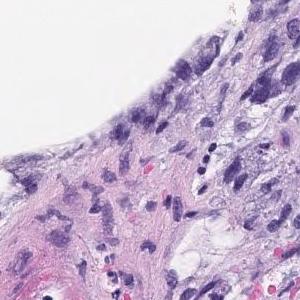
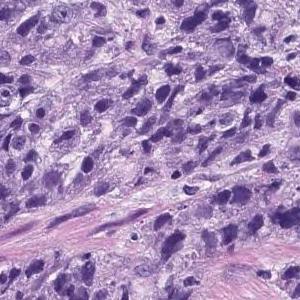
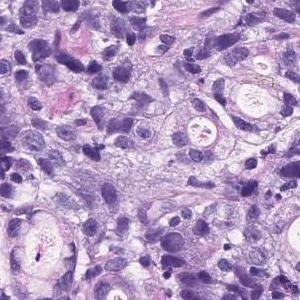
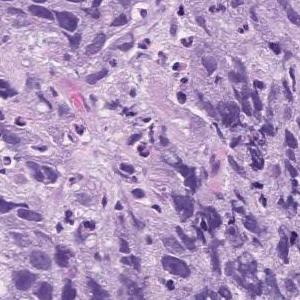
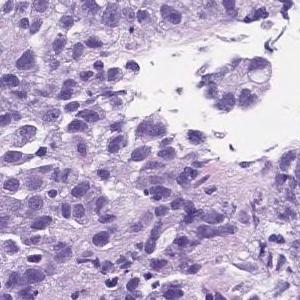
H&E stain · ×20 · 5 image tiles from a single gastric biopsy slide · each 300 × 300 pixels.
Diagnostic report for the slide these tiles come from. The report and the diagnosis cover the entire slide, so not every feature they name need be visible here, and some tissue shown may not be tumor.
Atypical l cells with atypical nuclei forming solid vesicles or small irregular atypical ducts that proliferate in a complex manner. poorly differentiated adenocarcinoma, solid type, moderately differentiated tubular adenocarcinoma
The solid type named here is a Japanese Classification of Gastric Carcinoma category; WHO 2019 calls it tubular adenocarcinoma, poorly differentiated.
